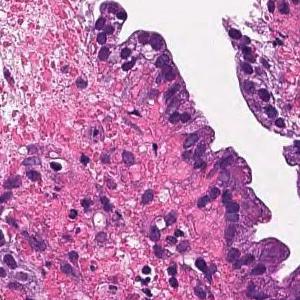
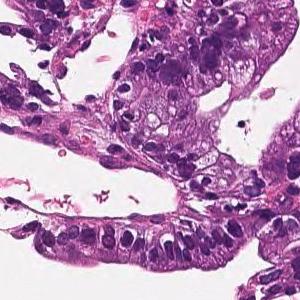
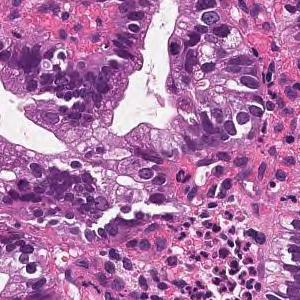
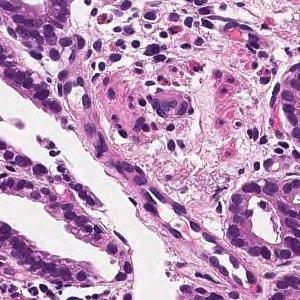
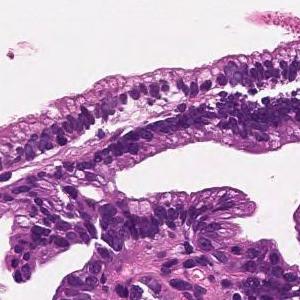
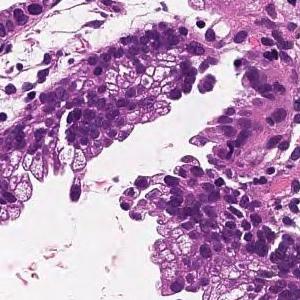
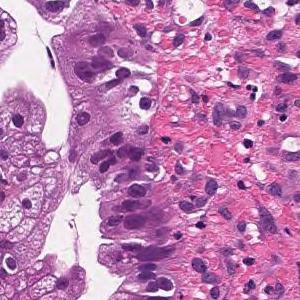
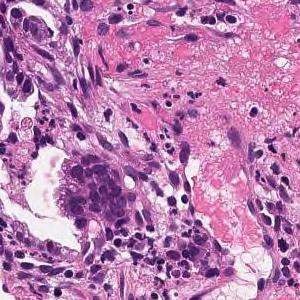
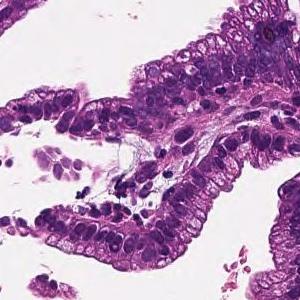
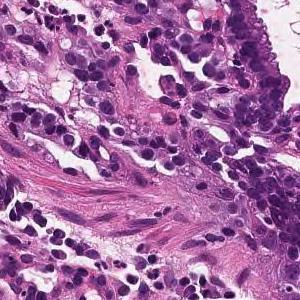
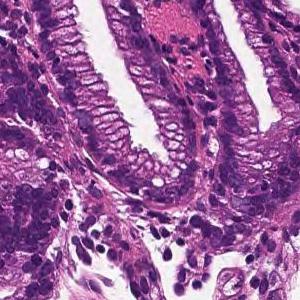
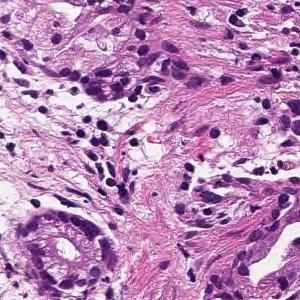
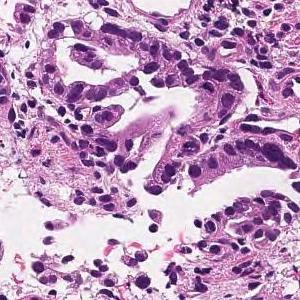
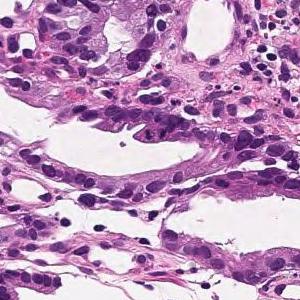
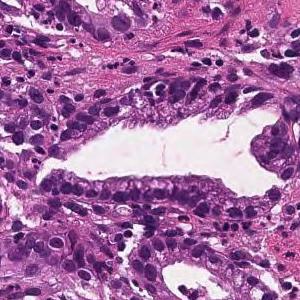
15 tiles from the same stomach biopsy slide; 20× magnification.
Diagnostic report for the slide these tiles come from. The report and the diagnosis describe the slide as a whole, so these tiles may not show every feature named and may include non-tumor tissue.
On the superficial epithelium, tumor tissue that infiltrates by forming medium-sized papillary or small irregular ducts is observed. Papillary adenocarcinoma
